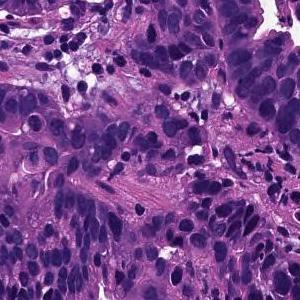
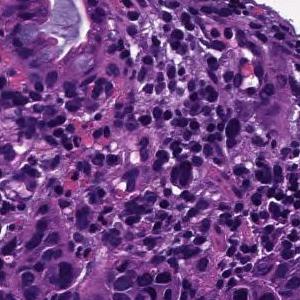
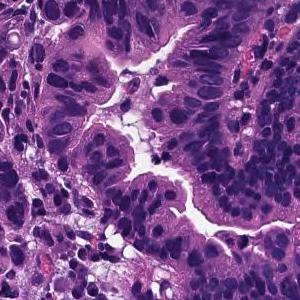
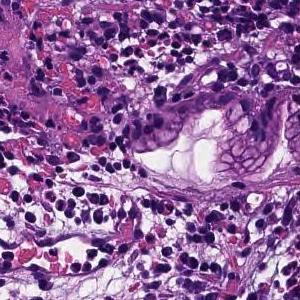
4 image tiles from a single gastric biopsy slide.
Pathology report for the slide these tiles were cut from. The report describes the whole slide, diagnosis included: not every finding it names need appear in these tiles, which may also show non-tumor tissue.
Tumor tissue consisting of medium-sized, cord-like or irregular glandular infiltration is observed in the superficial epithelium. Poorly differentiated adenocarcinoma, non-solid type or moderately differentiated tubular adenocarcinoma
Subtype: Moderately to poorly differentiated adenocarcinoma.
The non-solid type named here is a Japanese Classification of Gastric Carcinoma category.
